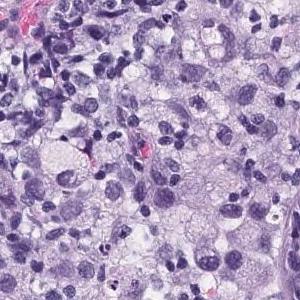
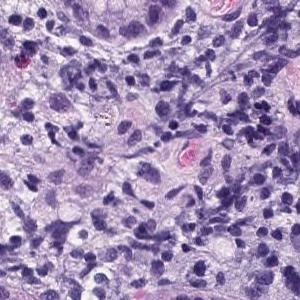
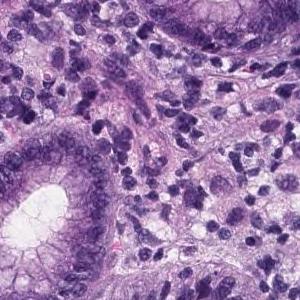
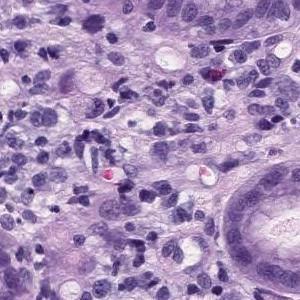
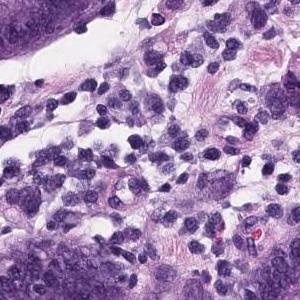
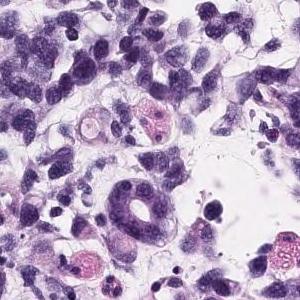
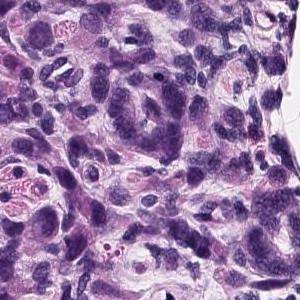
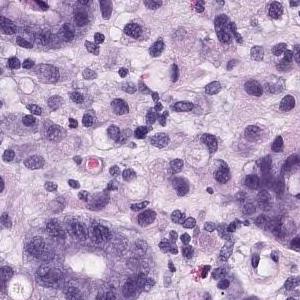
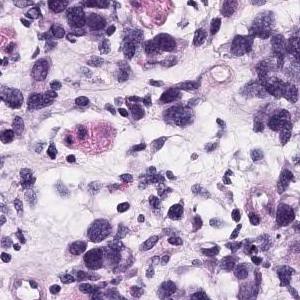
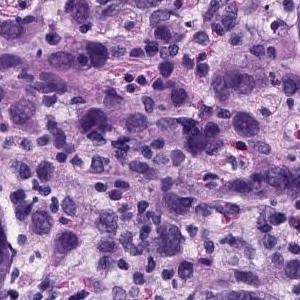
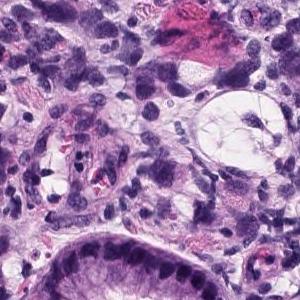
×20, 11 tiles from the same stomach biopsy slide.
Pathology report for the biopsy slide these tiles were cut from. The report and the diagnosis describe the slide as a whole, so these tiles may not show every feature named and may include non-tumor tissue.
Group 5, Adenocarcinoma. Poorly differentiated adenocarcinoma, non-solid type
The non-solid type named here is a Japanese Classification of Gastric Carcinoma category.
